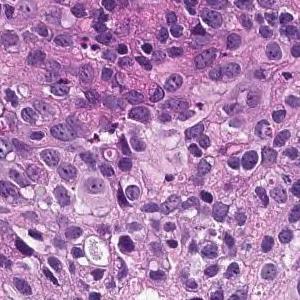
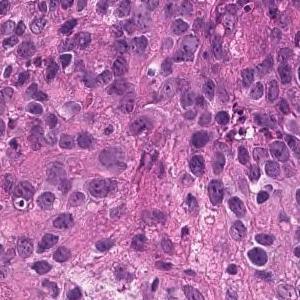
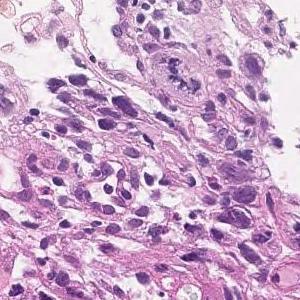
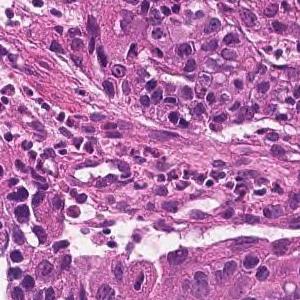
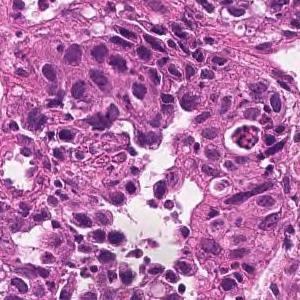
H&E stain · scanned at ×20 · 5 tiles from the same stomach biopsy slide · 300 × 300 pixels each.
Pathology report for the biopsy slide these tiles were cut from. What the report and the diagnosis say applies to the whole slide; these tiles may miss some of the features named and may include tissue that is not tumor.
The superficial epithelium shows a large sheet-like shape, and some tumor tissue infiltrates with small irregular ducts. Poorly differentiated adenocarcinoma, solid-type
Subtype: Poorly differentiated adenocarcinoma, solid type. This name comes from the Japanese Classification of Gastric Carcinoma; the WHO 2019 classification calls it tubular adenocarcinoma, poorly differentiated.
